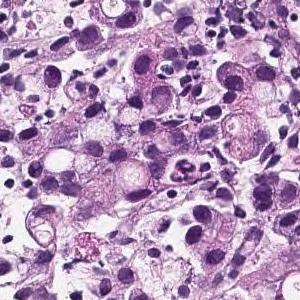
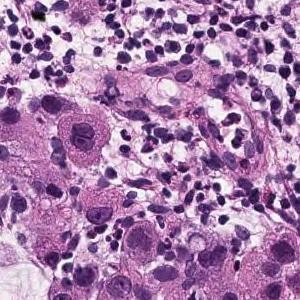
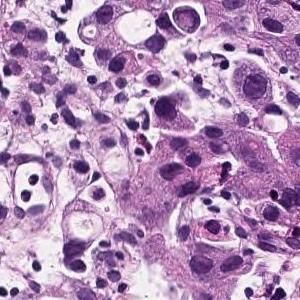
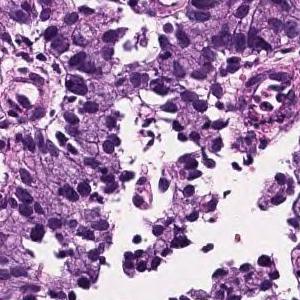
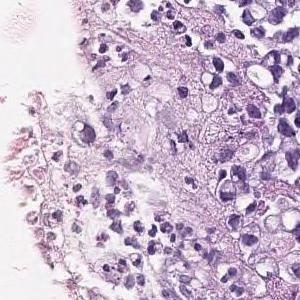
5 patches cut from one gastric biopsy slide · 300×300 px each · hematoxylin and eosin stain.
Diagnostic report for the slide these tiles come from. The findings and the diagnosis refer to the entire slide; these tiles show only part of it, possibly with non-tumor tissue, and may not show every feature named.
Tumor tissue infiltrated by irregular fusion of small cord-like structures is found in the superficial epithelium. Poorly differentiated adenocarcinoma, non-solid type
The term "non-solid type" comes from the Japanese Classification of Gastric Carcinoma.
